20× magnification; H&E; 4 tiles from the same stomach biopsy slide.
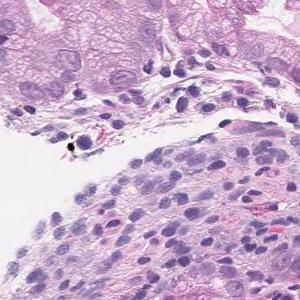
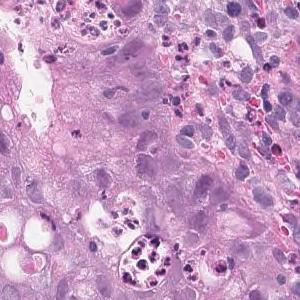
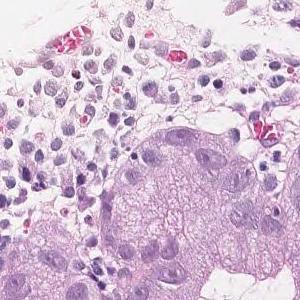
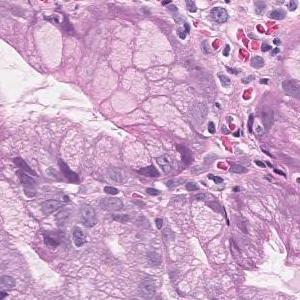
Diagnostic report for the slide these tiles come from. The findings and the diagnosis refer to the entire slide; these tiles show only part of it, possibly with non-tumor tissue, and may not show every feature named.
Group 5, Adenocarcinoma. Moderately differentiated tubular adenocarcinoma
